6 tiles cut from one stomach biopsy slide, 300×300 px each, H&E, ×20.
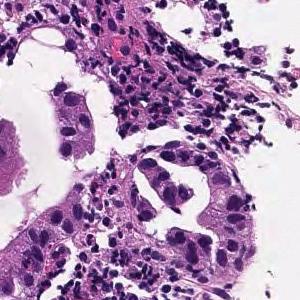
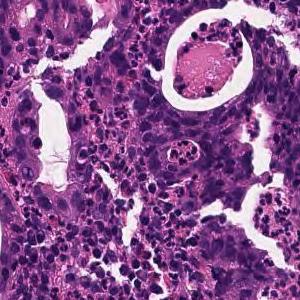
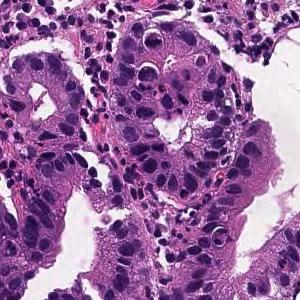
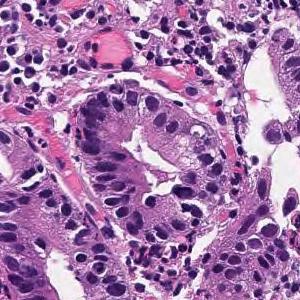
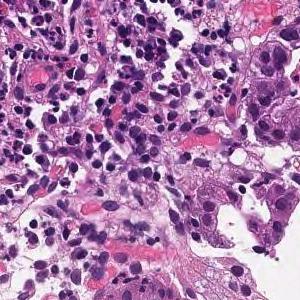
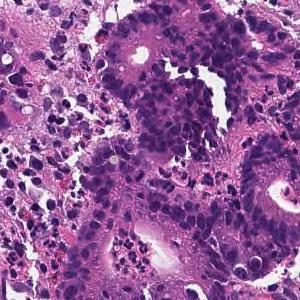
Pathology report for the slide these tiles were cut from. The report describes the whole slide, diagnosis included: not every finding it names need appear in these tiles, which may also show non-tumor tissue.
In the superficial epithelium, tumor tissue that invades by forming medium-sized to small, irregular ducts is observed. moderately differentiated tubular adenocarcinoma.
